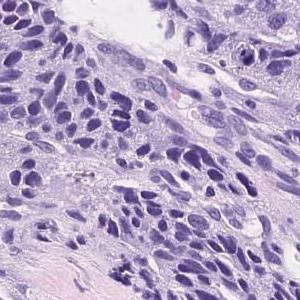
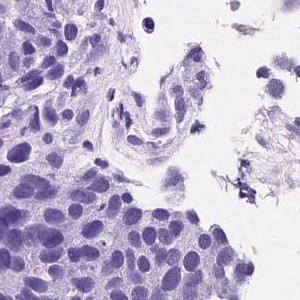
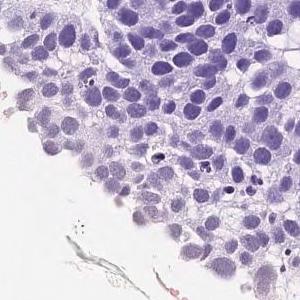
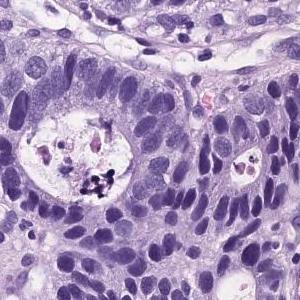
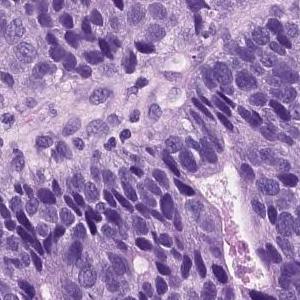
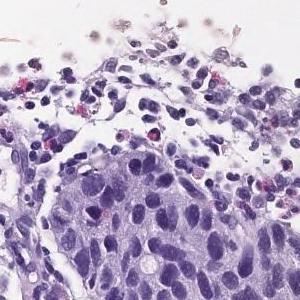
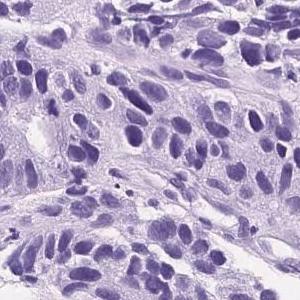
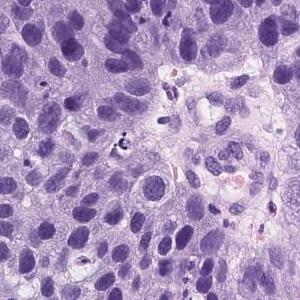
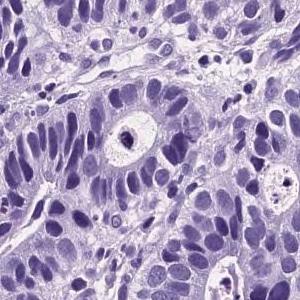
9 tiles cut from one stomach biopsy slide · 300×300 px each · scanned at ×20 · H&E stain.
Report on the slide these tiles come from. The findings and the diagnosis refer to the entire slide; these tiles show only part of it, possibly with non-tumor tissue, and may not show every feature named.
Atypical cells with atypical nuclei forming small irregular atypical ducts and growing in a conformative manner. moderately differentiated tubular adenocarcinoma
The dataset labels this slide moderately to poorly differentiated adenocarcinoma.
